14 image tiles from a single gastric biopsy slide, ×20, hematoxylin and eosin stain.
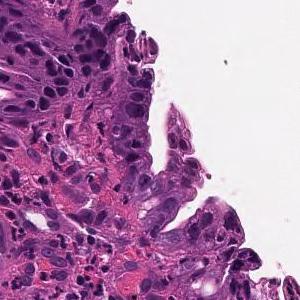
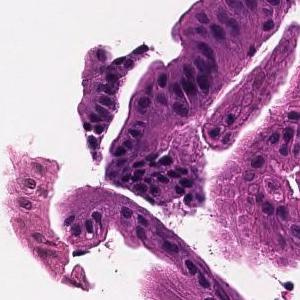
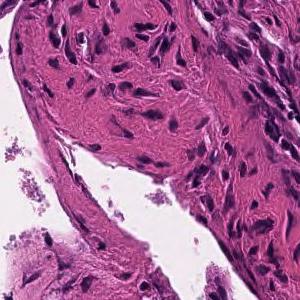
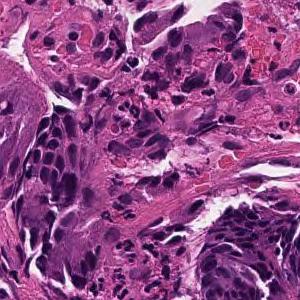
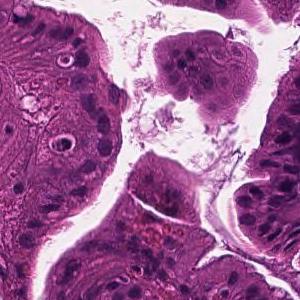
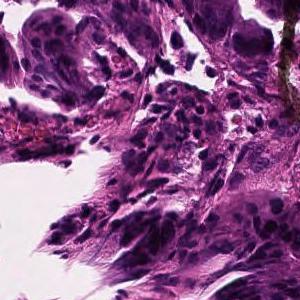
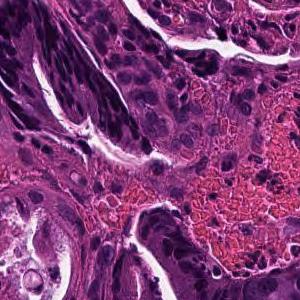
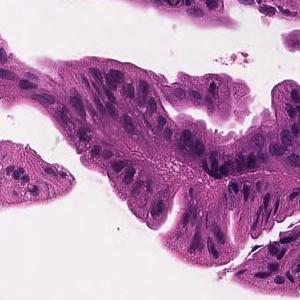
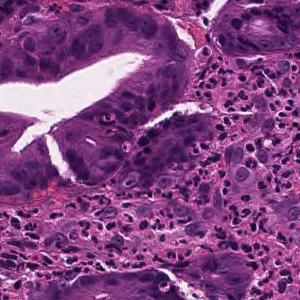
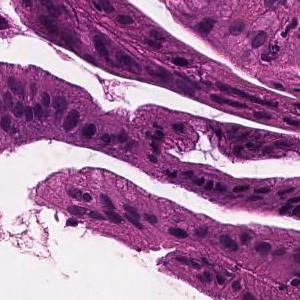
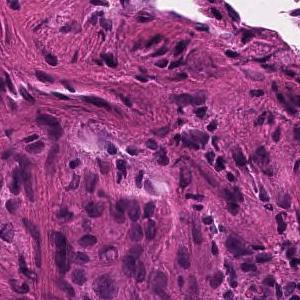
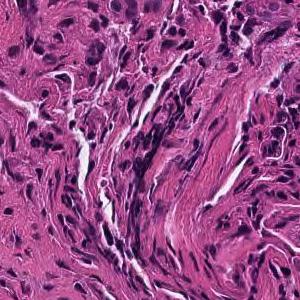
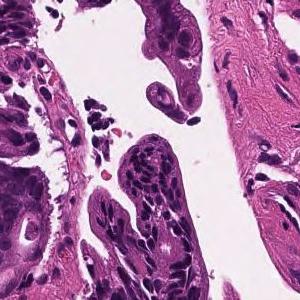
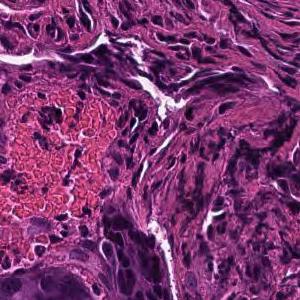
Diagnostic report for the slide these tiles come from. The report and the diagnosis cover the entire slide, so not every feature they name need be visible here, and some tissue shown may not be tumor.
Tumor cells are large, highly columnar, large club-shaped nuclei, and are associated with chromatin aggregation. Papillary adenocarcinoma.
